11 tiles from the same stomach biopsy slide; ×20.
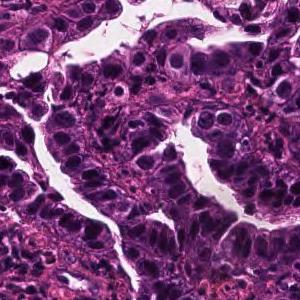
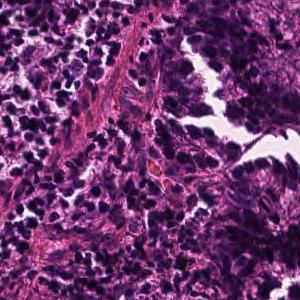
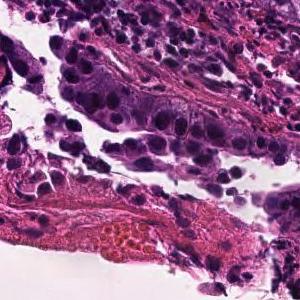
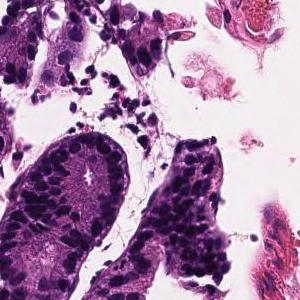
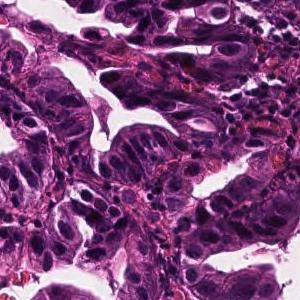
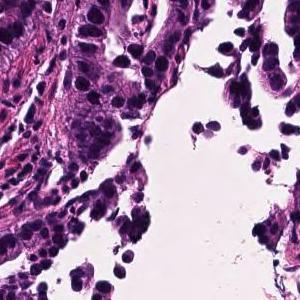
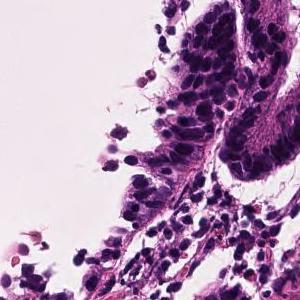
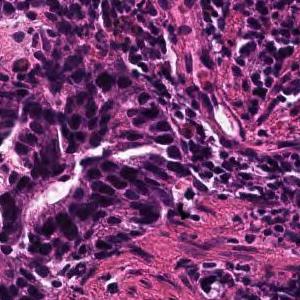
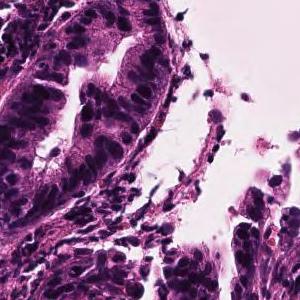
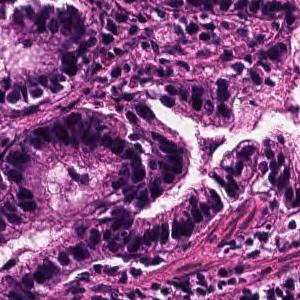
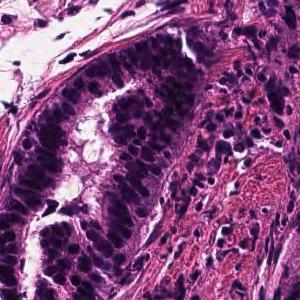
Pathology report for the slide these tiles were cut from. What the report and the diagnosis say applies to the whole slide; these tiles may miss some of the features named and may include tissue that is not tumor.
Tumor tissue consisting of large papillary structures is found in the superficial epithelium. Papillary adenocarcinoma.
